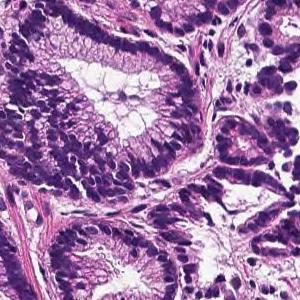
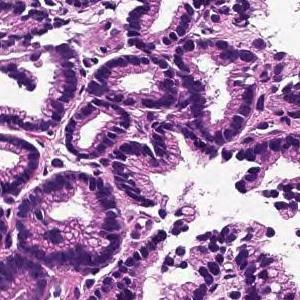
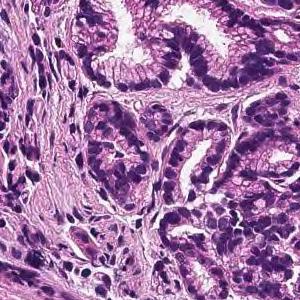
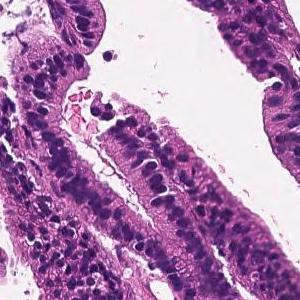
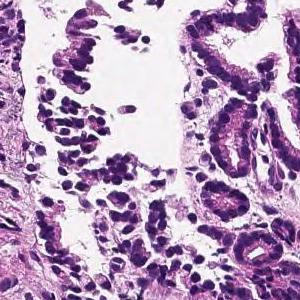
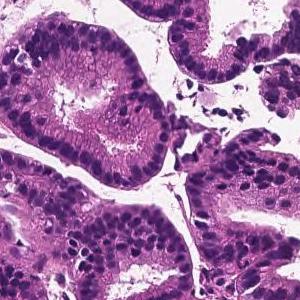
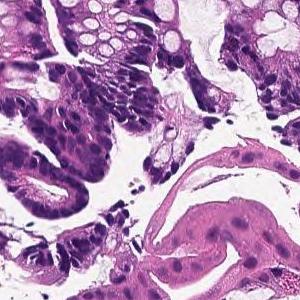
Scanned at ×20; H&E stain; 7 tiles cut from one stomach biopsy slide.
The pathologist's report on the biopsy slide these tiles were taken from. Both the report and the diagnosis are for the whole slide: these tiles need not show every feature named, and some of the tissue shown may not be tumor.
On the superficial epithelium, tumor tissue consisting of large irregular glandular ducts partially fused and infiltrated is observed. Well to moderately differentiated tubular adenocarcinoma (well differentiated tubular adenocarcinoma, moderately differentiated tubular adenocarcinoma)
Tumor subtype: well to moderately differentiated tubular adenocarcinoma.
